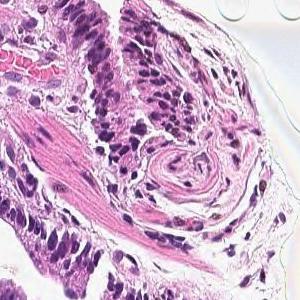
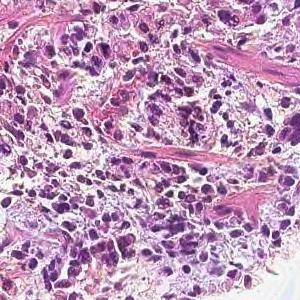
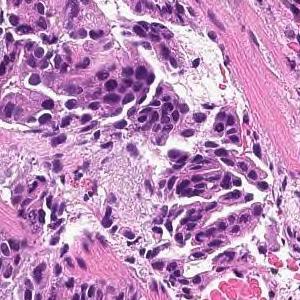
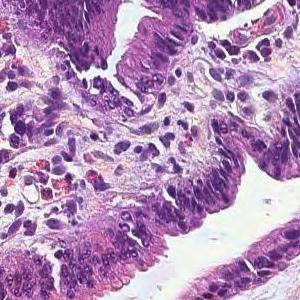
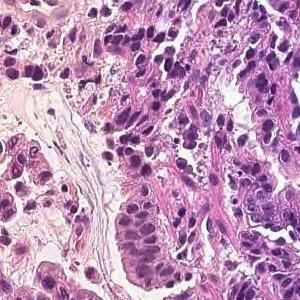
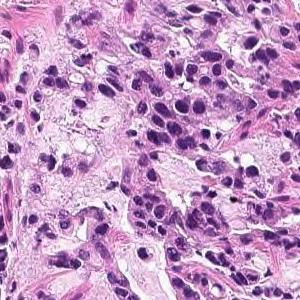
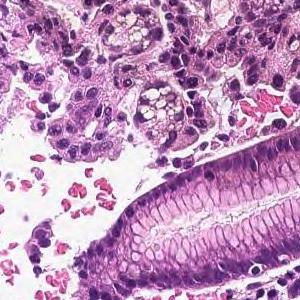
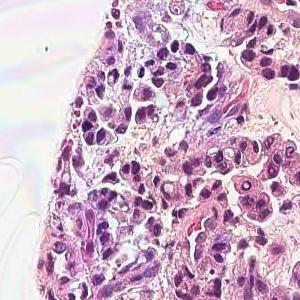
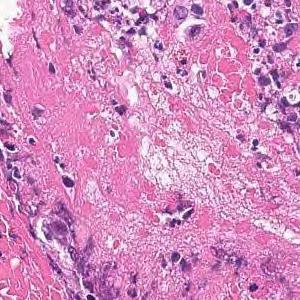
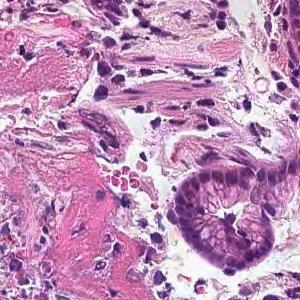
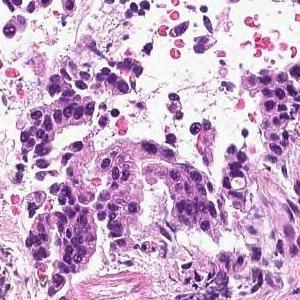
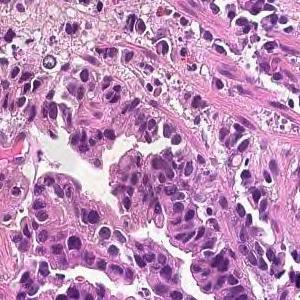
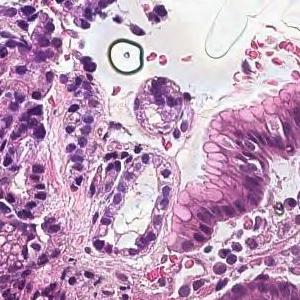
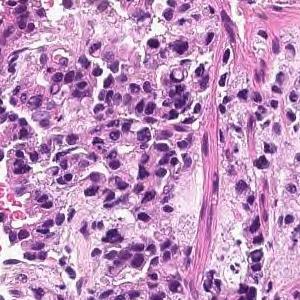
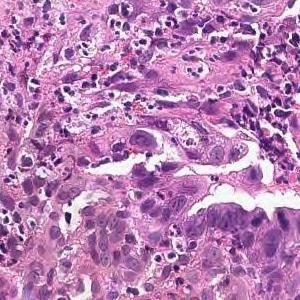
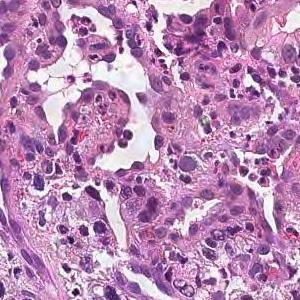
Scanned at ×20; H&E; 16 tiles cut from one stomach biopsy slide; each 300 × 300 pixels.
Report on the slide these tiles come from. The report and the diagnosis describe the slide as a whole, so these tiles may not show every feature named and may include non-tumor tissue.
Tumor tissue consisting of medium-sized, cord-like or irregular glandular infiltration is observed in the superficial epithelium. Poorly differentiated adenocarcinoma, non-solid type or moderately differentiated tubular adenocarcinoma
Histologic type: Moderately to poorly differentiated adenocarcinoma.
The term "non-solid type" comes from the Japanese Classification of Gastric Carcinoma.
